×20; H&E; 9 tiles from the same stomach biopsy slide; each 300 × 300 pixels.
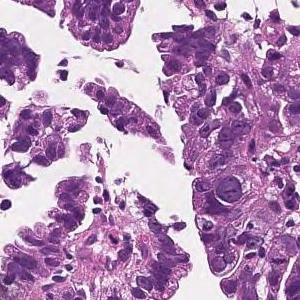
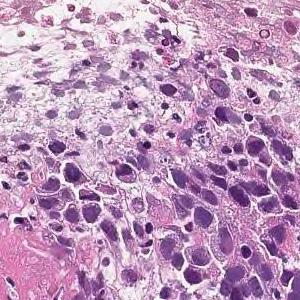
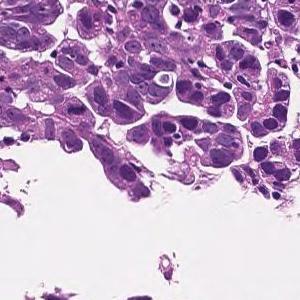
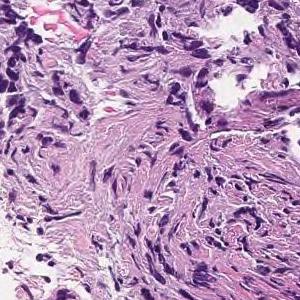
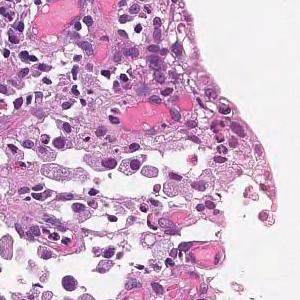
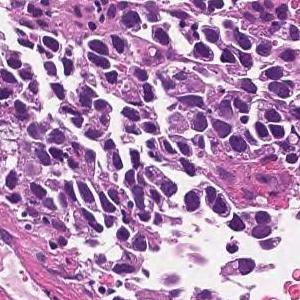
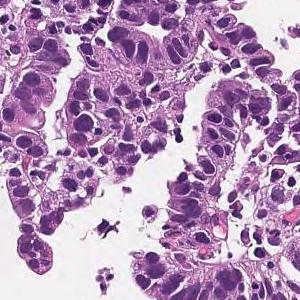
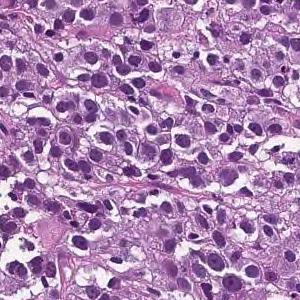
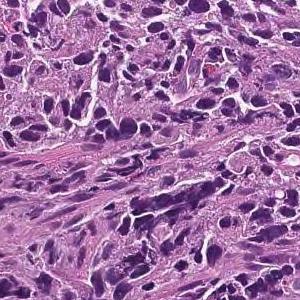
The pathologist's report on the biopsy slide these tiles were taken from. What the report and the diagnosis say applies to the whole slide; these tiles may miss some of the features named and may include tissue that is not tumor.
The superficial epithelium shows a large sheet-like shape, and some tumor tissue infiltrates with small irregular ducts. Poorly differentiated adenocarcinoma, solid-type
Histological subtype: Poorly differentiated adenocarcinoma, solid type. This name comes from the Japanese Classification of Gastric Carcinoma; the WHO 2019 classification calls it tubular adenocarcinoma, poorly differentiated.
